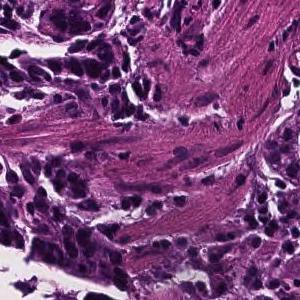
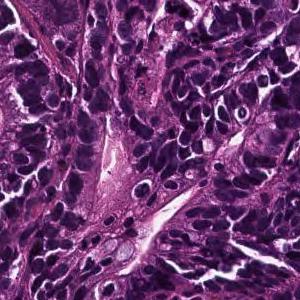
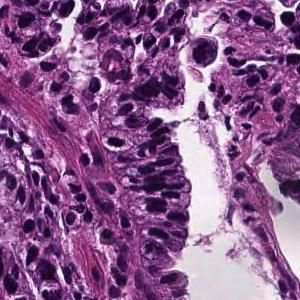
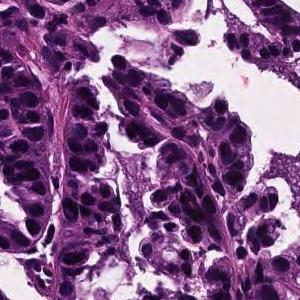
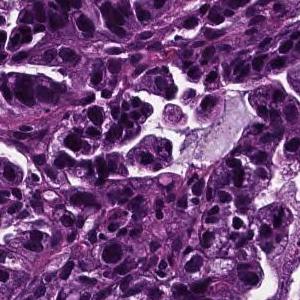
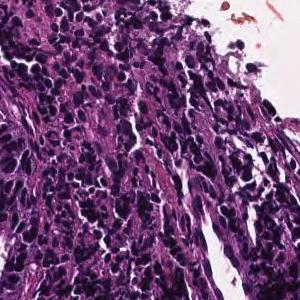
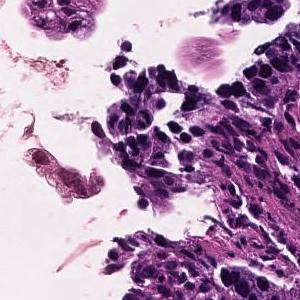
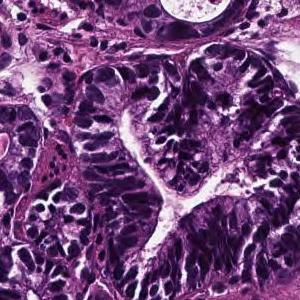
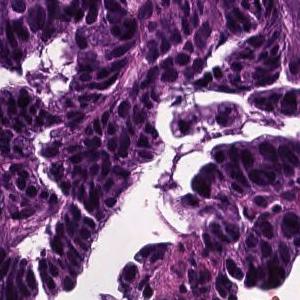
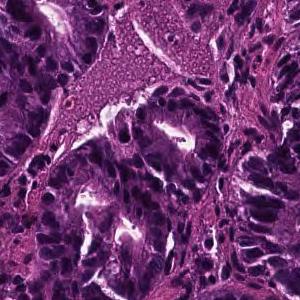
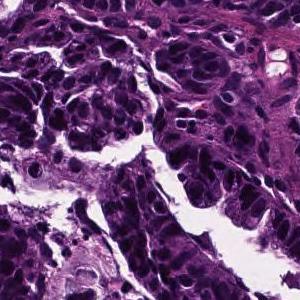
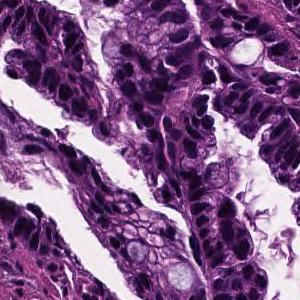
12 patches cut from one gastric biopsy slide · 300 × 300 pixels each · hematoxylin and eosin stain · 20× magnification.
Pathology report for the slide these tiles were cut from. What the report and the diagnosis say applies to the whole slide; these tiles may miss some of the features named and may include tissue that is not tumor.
In the superficial epithelium, tumor tissue that invades by forming medium-sized to small, irregular ducts is observed. Well differentiated tubular adenocarcinoma.
